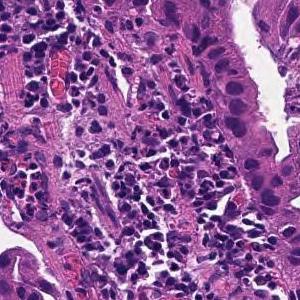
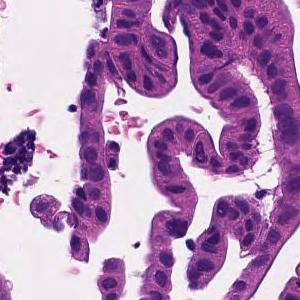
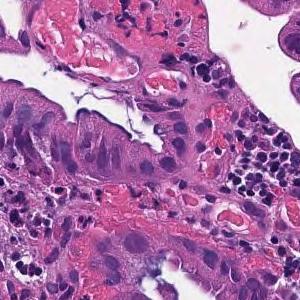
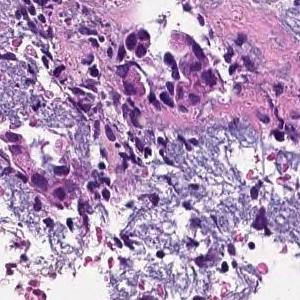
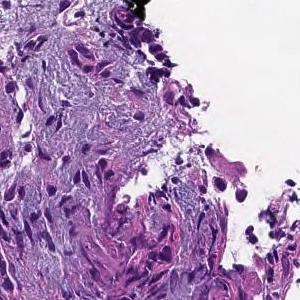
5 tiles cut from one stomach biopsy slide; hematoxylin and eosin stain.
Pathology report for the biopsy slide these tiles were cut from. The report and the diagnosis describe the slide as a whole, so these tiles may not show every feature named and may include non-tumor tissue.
On the superficial epithelium, tumor tissue that infiltrates by forming medium-sized papillary or small irregular ducts is observed. Papillary adenocarcinoma
